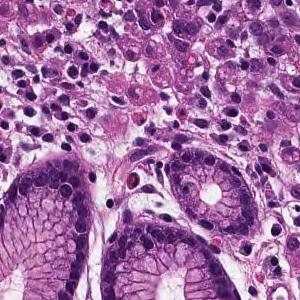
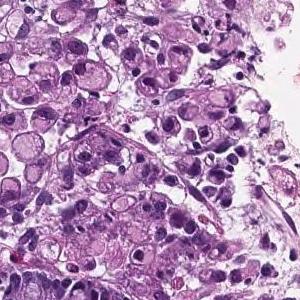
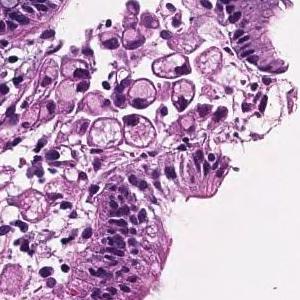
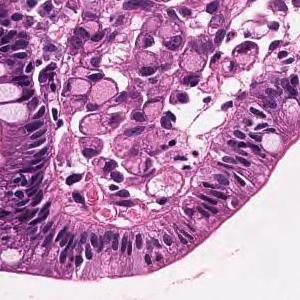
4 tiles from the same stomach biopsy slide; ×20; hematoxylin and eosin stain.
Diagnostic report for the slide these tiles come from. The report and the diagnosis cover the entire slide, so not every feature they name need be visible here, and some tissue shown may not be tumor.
Tumor tissue consisting of cord-like or small, irregular glandular ducts fused and infiltrated is observed in the superficial epithelium. Poorly differentiated adenocarcinoma, non-solid type
"Non-solid type" is a category of the Japanese Classification of Gastric Carcinoma.
